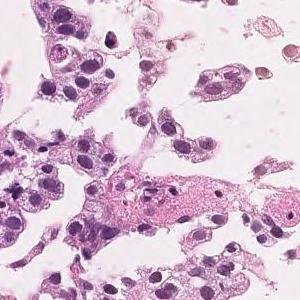
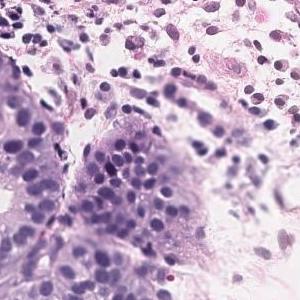
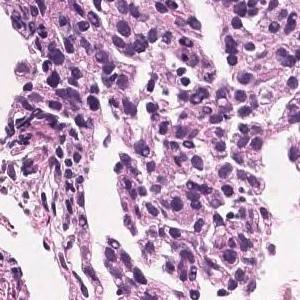
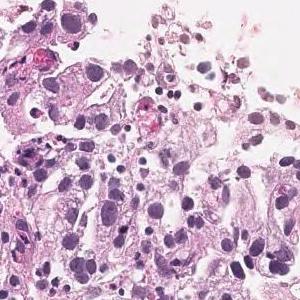
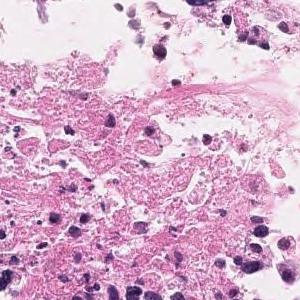
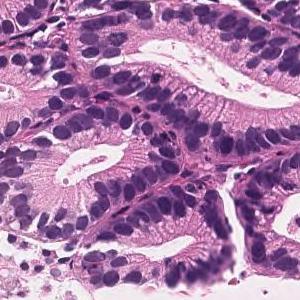
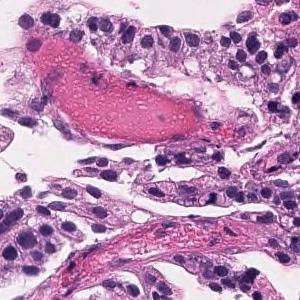
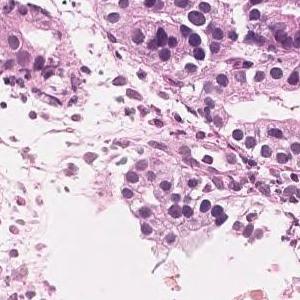
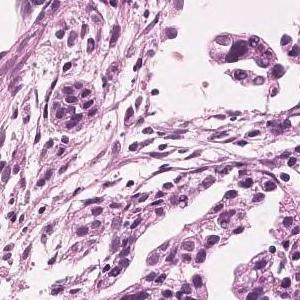
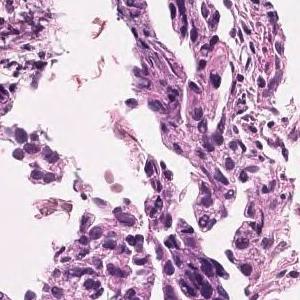
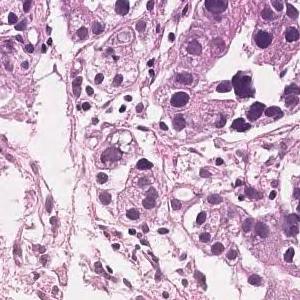
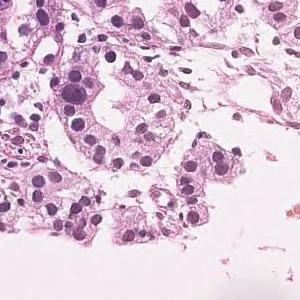
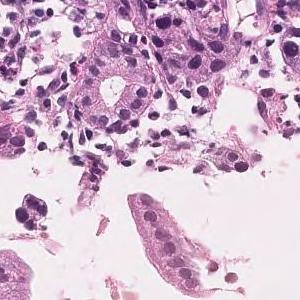
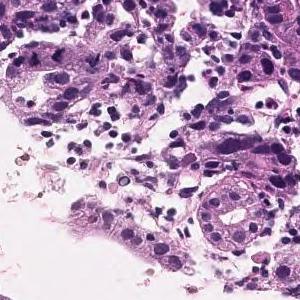
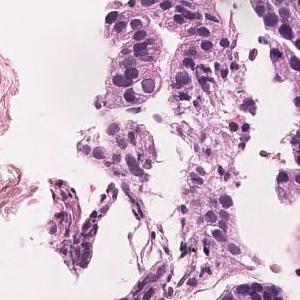
Hematoxylin and eosin stain, ×20, 15 tiles cut from one stomach biopsy slide, 300×300 px each.
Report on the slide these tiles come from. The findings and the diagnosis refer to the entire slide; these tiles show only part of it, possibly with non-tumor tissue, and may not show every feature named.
In the superficial epithelium, tumor tissue that invades by forming medium-sized to small, irregular ducts is observed. moderately differentiated tubular adenocarcinoma.
